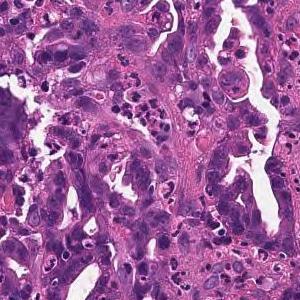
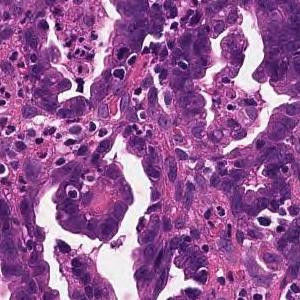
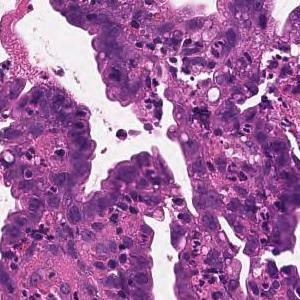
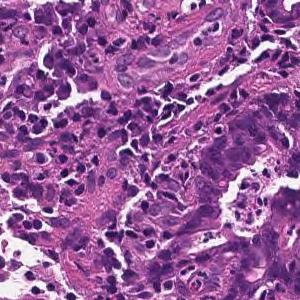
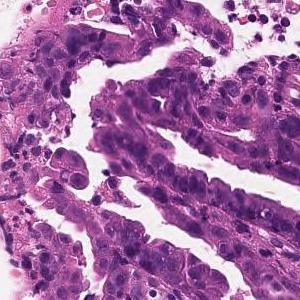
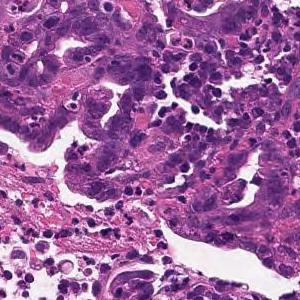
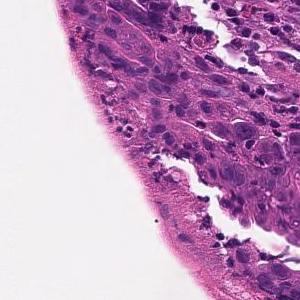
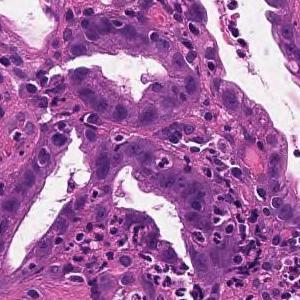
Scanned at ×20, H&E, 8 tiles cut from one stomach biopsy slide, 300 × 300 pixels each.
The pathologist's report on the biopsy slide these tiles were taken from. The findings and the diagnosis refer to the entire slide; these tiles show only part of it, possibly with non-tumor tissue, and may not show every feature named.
From the superficial epithelium to the muscularis mucosae, tumor tissue consisting of medium-sized and irregular glandular ducts infiltrating is observed. Well differentiated tubular adenocarcinoma
